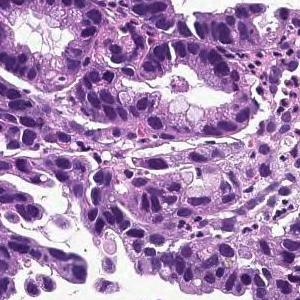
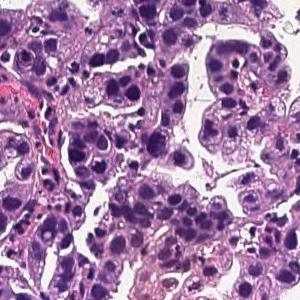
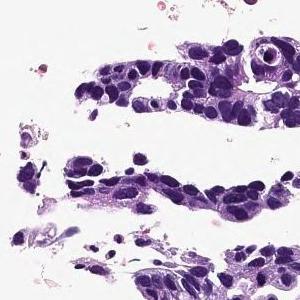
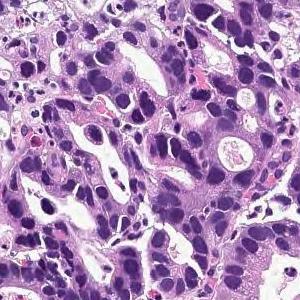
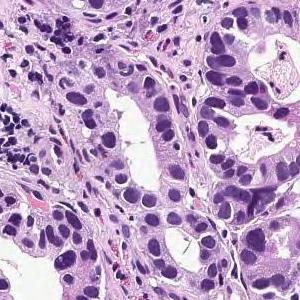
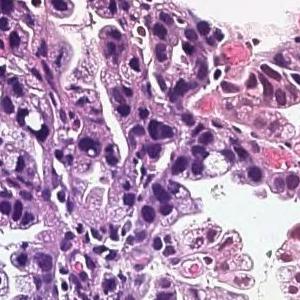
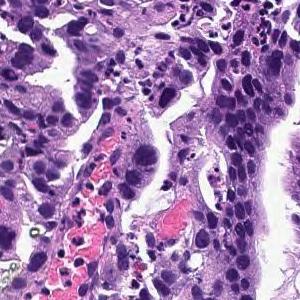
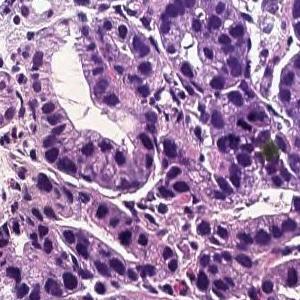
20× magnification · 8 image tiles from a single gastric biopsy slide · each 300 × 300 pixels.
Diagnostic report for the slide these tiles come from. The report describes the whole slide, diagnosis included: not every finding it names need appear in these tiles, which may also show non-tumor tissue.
On the superficial epithelium, tumor tissue consisting of large irregular glandular ducts partially fused and infiltrated is observed. Well to moderately differentiated tubular adenocarcinoma (well differentiated tubular adenocarcinoma, moderately differentiated tubular adenocarcinoma)
Subtype: Well to moderately differentiated tubular adenocarcinoma.
